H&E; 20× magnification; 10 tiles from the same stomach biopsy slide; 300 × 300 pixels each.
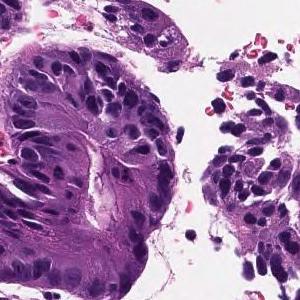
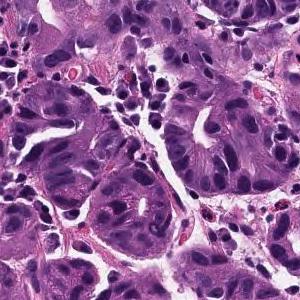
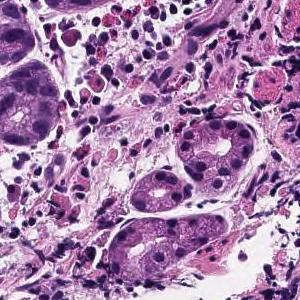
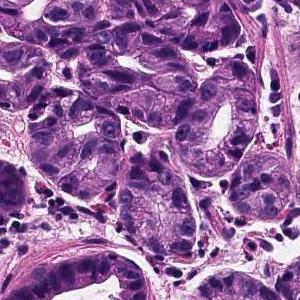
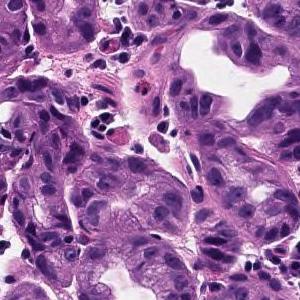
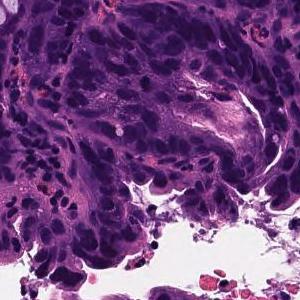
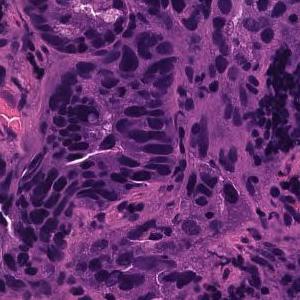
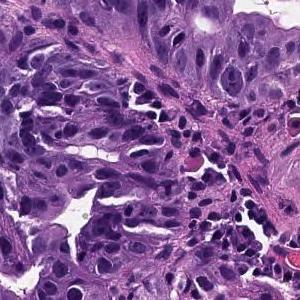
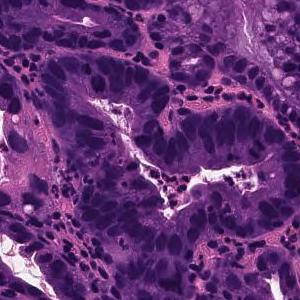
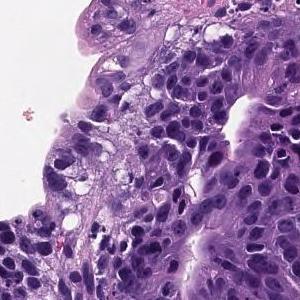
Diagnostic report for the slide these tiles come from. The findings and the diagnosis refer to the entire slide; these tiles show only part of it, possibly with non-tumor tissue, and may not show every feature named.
On the superficial epithelium, tumor tissue consisting of large irregular glandular ducts partially fused and infiltrated is observed. Well to moderately differentiated tubular adenocarcinoma (well differentiated tubular adenocarcinoma, moderately differentiated tubular adenocarcinoma)
Tumor subtype: well to moderately differentiated tubular adenocarcinoma.
